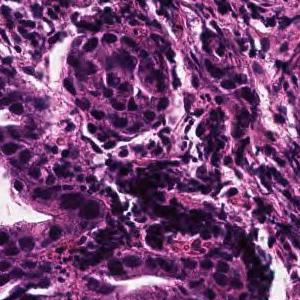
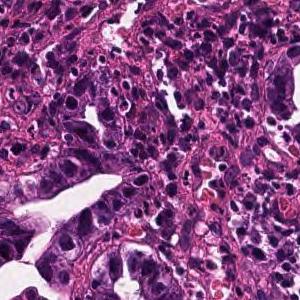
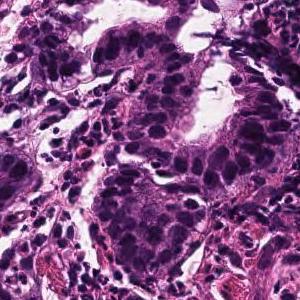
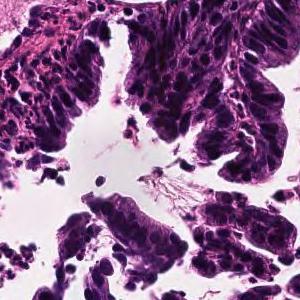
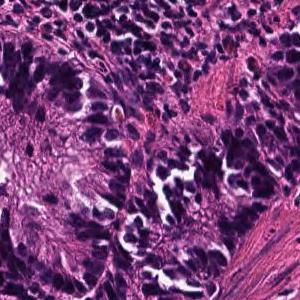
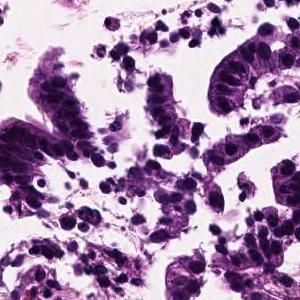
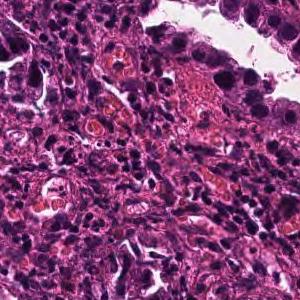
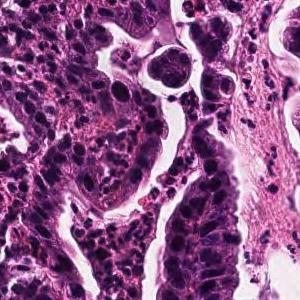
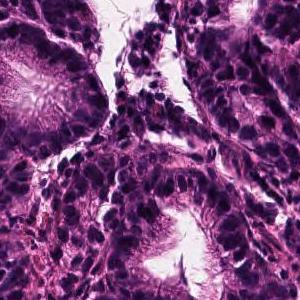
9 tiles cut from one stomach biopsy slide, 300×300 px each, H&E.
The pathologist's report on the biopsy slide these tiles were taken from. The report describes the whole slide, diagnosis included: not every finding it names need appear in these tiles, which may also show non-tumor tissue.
Tumor tissue consisting of large papillary structures is found in the superficial epithelium. Papillary adenocarcinoma.
